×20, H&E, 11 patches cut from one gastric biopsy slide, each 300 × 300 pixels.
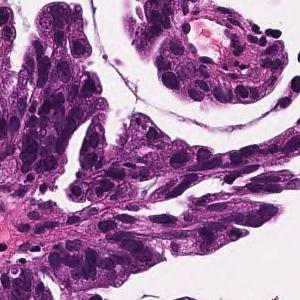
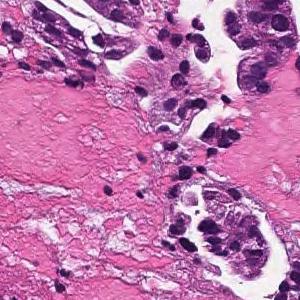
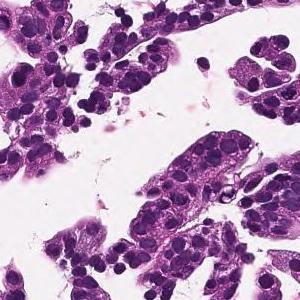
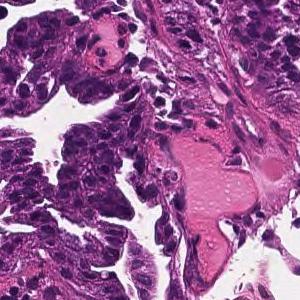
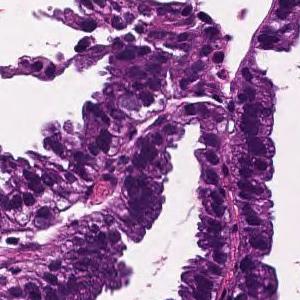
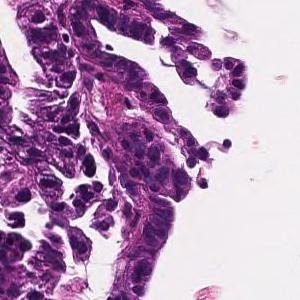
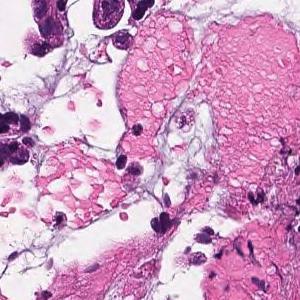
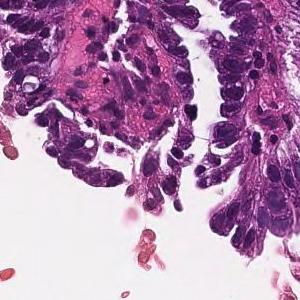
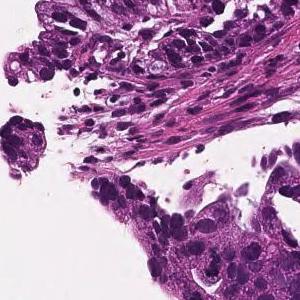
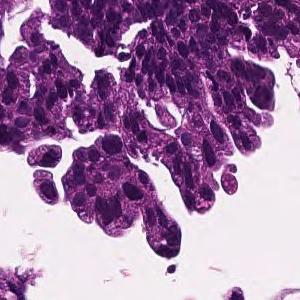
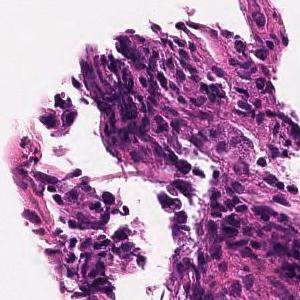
Pathology report for the biopsy slide these tiles were cut from. The findings and the diagnosis refer to the entire slide; these tiles show only part of it, possibly with non-tumor tissue, and may not show every feature named.
Tumor cells are large, highly columnar, large club-shaped nuclei, and are associated with chromatin aggregation. Papillary adenocarcinoma.
